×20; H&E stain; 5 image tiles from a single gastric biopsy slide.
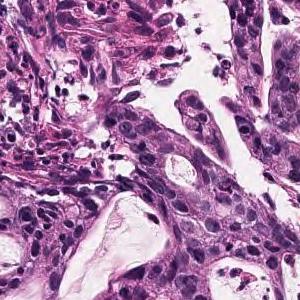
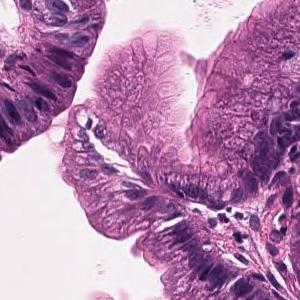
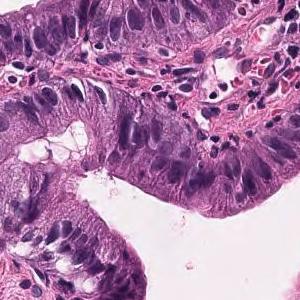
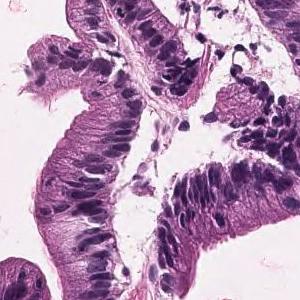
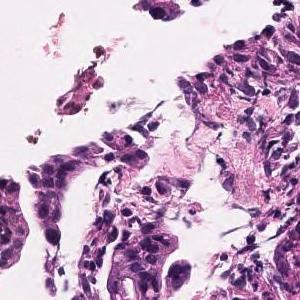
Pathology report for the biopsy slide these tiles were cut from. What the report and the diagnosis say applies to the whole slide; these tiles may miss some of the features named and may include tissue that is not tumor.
Tumor tissue that grows invasively while the short atypical epithelium forms small ducts is observed. moderately differentiated tubular adenocarcinoma
